6 tiles from the same stomach biopsy slide; 300 × 300 pixels each; hematoxylin and eosin stain; ×20.
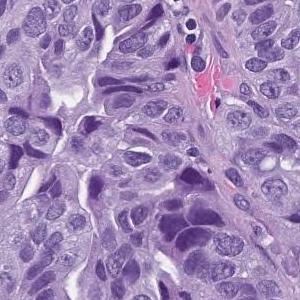
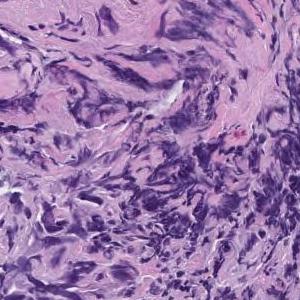
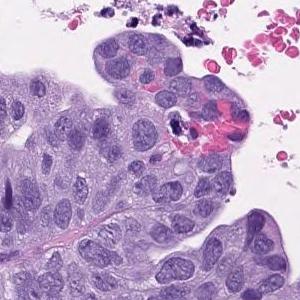
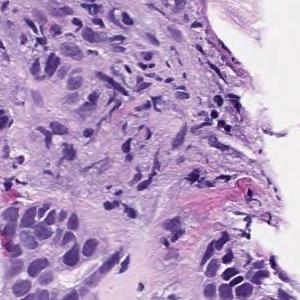
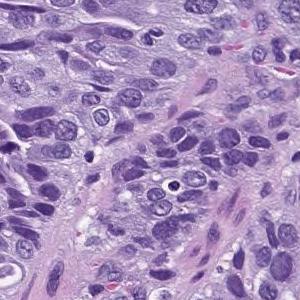
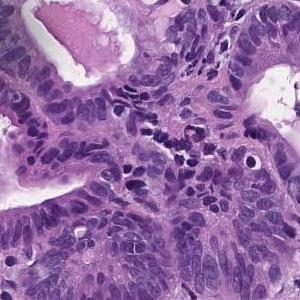
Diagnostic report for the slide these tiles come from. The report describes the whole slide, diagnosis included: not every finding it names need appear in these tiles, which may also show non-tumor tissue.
In the superficial epithelium, tumor tissue that invades by forming medium-sized to small, irregular ducts is observed. moderately differentiated tubular adenocarcinoma.
